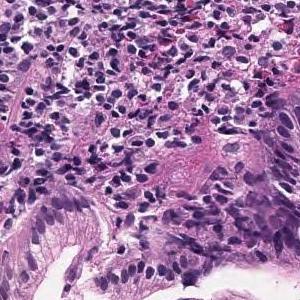
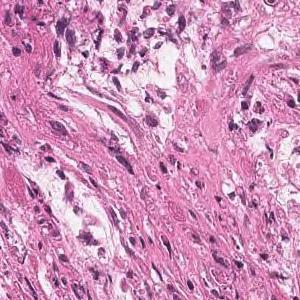
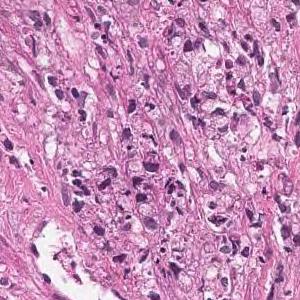
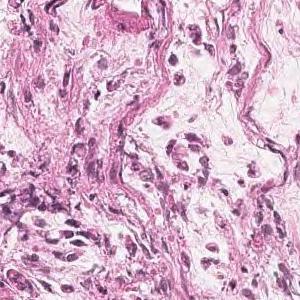
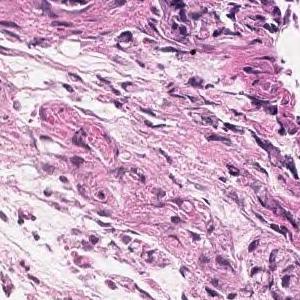
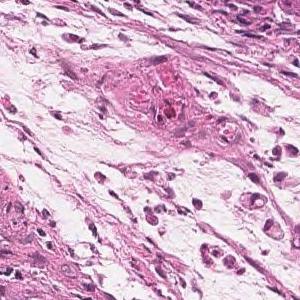
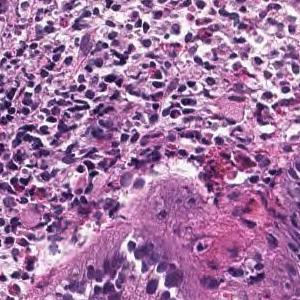
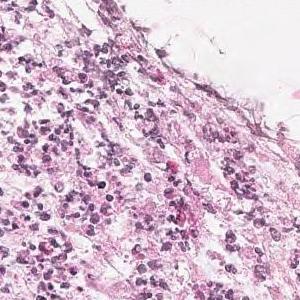
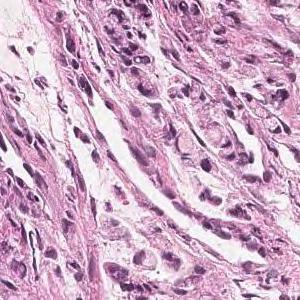
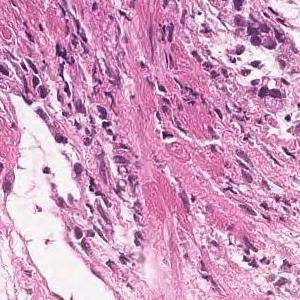
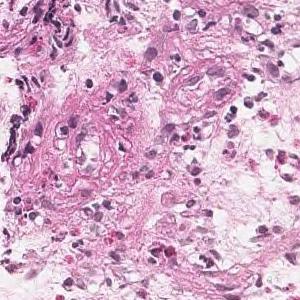
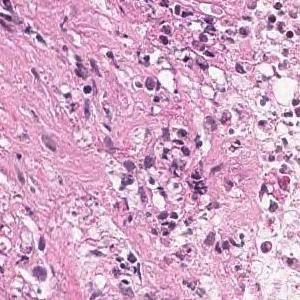
H&E stain, 12 tiles from the same stomach biopsy slide, 300 × 300 pixels each.
Pathology report for the biopsy slide these tiles were cut from. What the report and the diagnosis say applies to the whole slide; these tiles may miss some of the features named and may include tissue that is not tumor.
Tumor tissue is observed in which atypical epithelial cells with mucus in the vesicles proliferate while being isolated. Signet ring cell carcinoma
